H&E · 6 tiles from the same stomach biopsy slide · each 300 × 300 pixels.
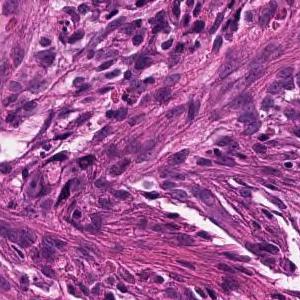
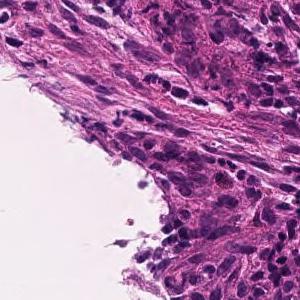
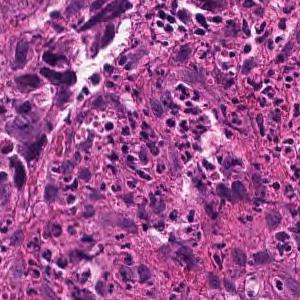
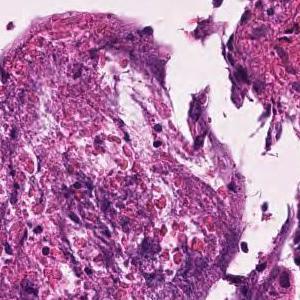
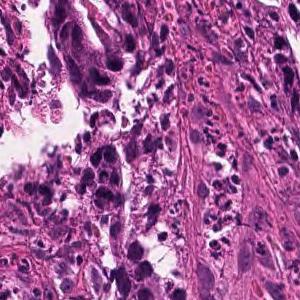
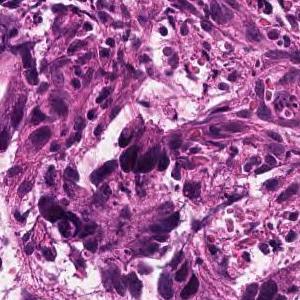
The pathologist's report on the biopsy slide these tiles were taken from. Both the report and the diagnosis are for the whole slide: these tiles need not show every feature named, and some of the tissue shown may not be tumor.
In the superficial epithelium, tumor tissue that invades by forming medium-sized to small, irregular ducts is observed. moderately differentiated tubular adenocarcinoma.
